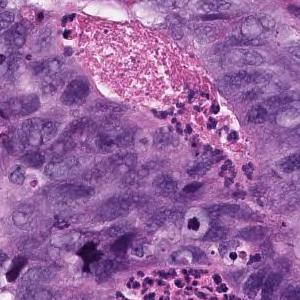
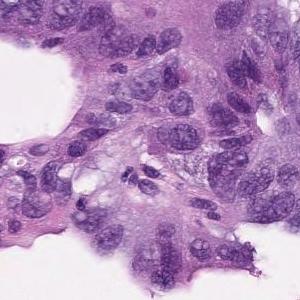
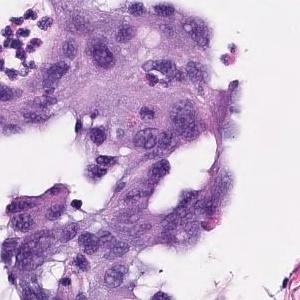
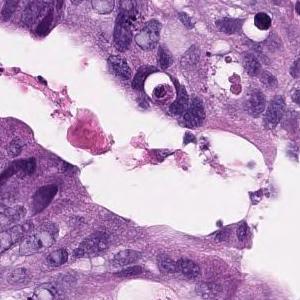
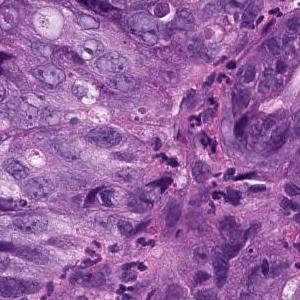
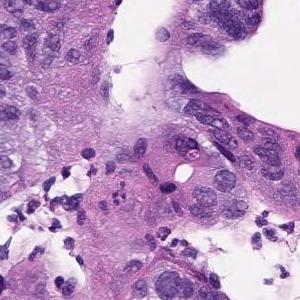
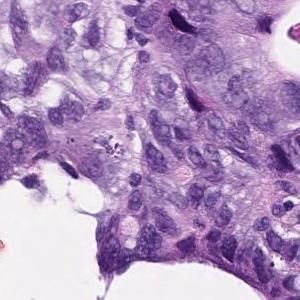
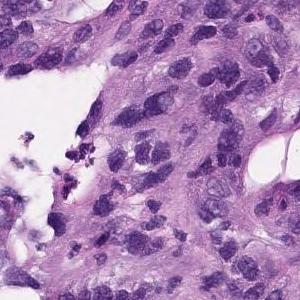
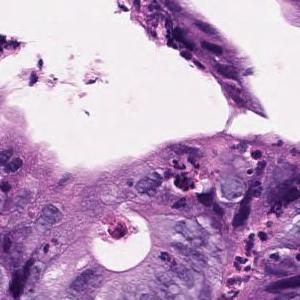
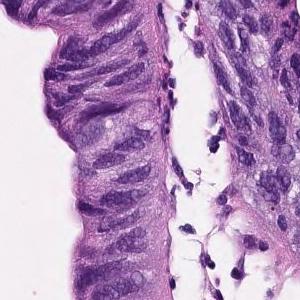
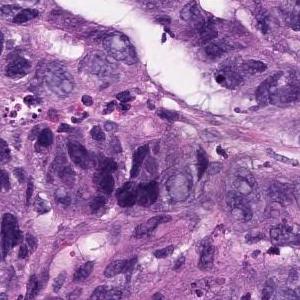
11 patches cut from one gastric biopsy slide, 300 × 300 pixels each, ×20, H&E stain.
Pathology report for the slide these tiles were cut from. The report and the diagnosis describe the slide as a whole, so these tiles may not show every feature named and may include non-tumor tissue.
In the superficial epithelium, tumor tissue that invades by forming medium-sized to small, irregular ducts is observed. Moderately differentiated adenocarcinoma.
Histologic type: Moderately differentiated tubular adenocarcinoma.
